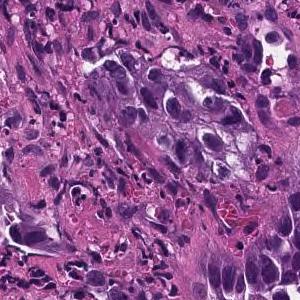
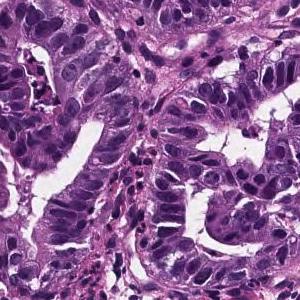
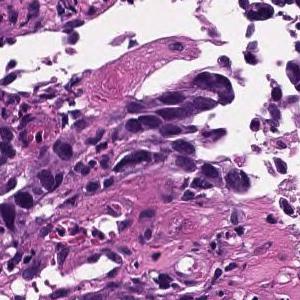
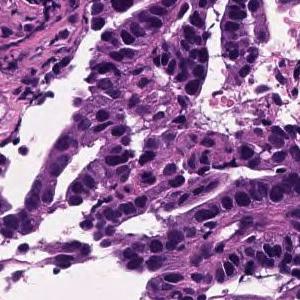
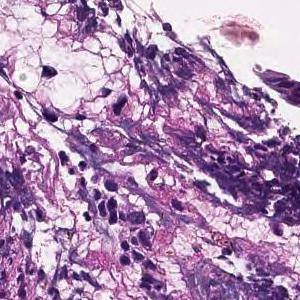
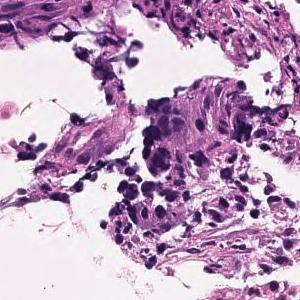
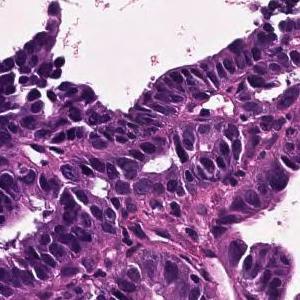
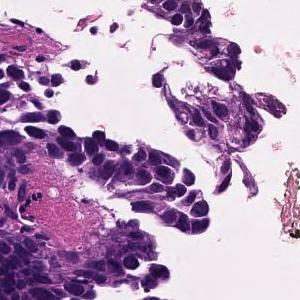
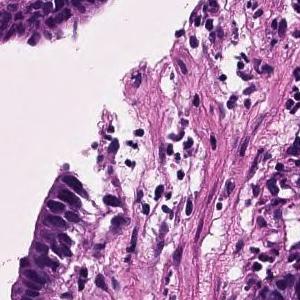
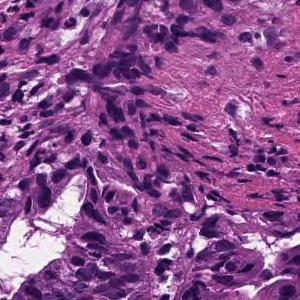
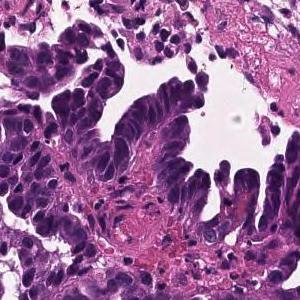
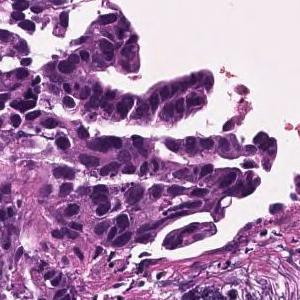
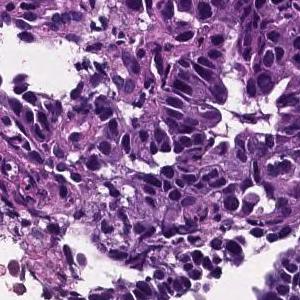
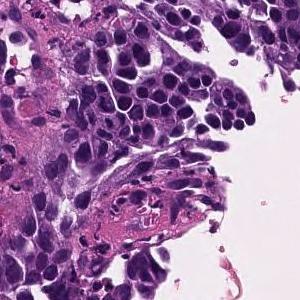
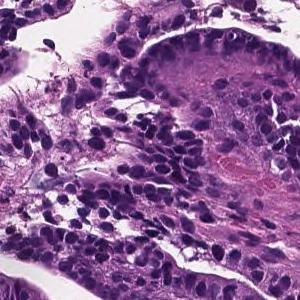
15 image tiles from a single gastric biopsy slide, scanned at ×20, hematoxylin and eosin stain.
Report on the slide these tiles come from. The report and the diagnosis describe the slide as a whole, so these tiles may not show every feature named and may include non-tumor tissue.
Tumor cells are large, highly columnar, large club-shaped nuclei, and are associated with chromatin aggregation. Papillary adenocarcinoma.
